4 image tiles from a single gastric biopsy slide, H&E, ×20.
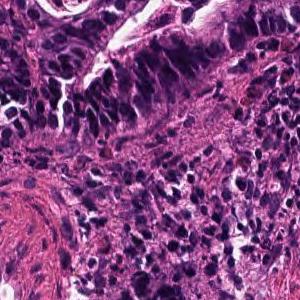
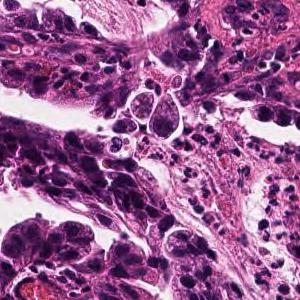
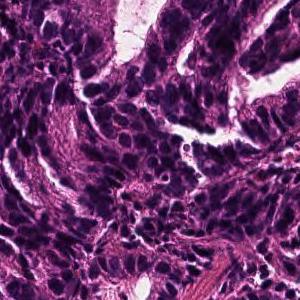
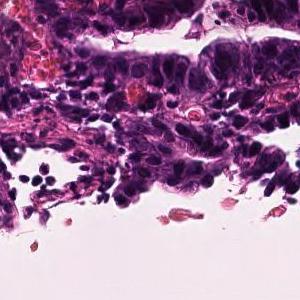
The pathologist's report on the biopsy slide these tiles were taken from. The findings and the diagnosis refer to the entire slide; these tiles show only part of it, possibly with non-tumor tissue, and may not show every feature named.
Tumor tissue consisting of large papillary structures is found in the superficial epithelium. Papillary adenocarcinoma.
